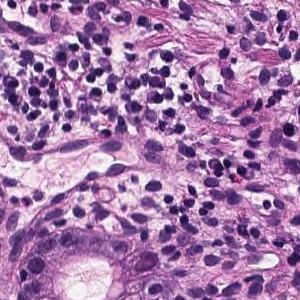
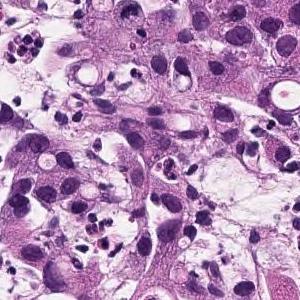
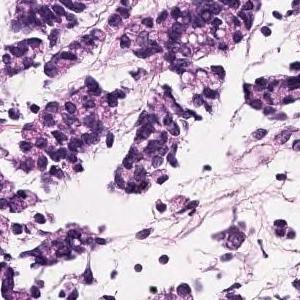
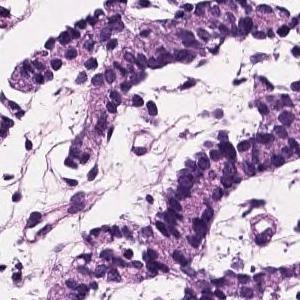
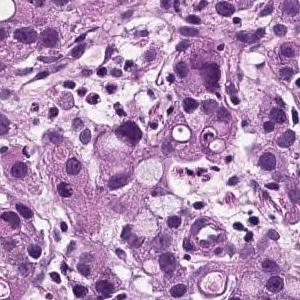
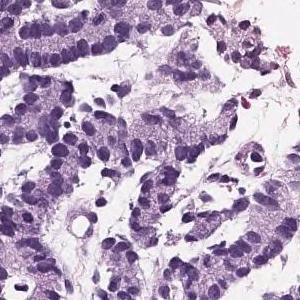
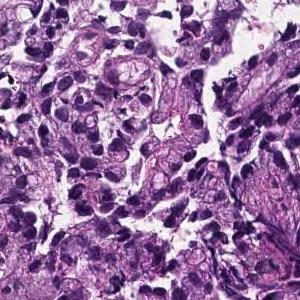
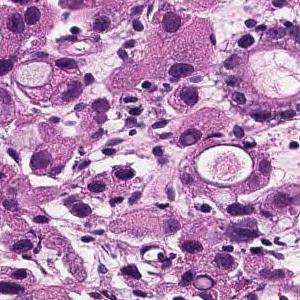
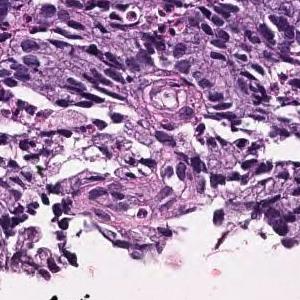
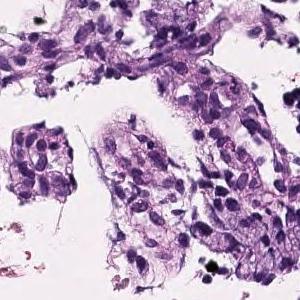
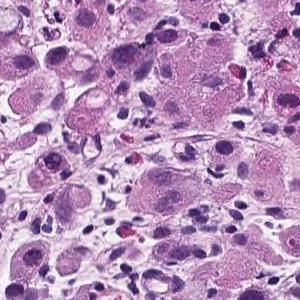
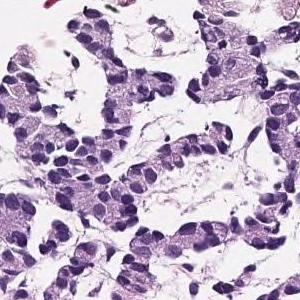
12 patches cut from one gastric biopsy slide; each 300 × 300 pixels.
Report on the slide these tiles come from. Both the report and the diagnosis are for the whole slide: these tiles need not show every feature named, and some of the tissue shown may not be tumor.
Tumor tissue infiltrated by irregular fusion of small cord-like structures is found in the superficial epithelium. Poorly differentiated adenocarcinoma, non-solid type
"Non-solid type" is a category of the Japanese Classification of Gastric Carcinoma.
